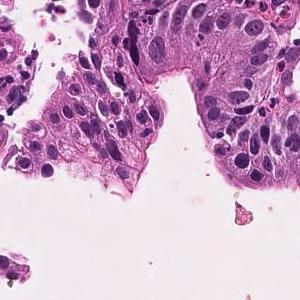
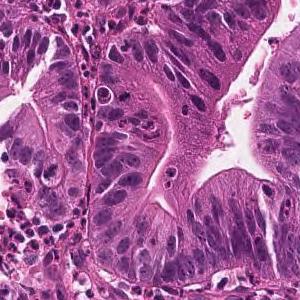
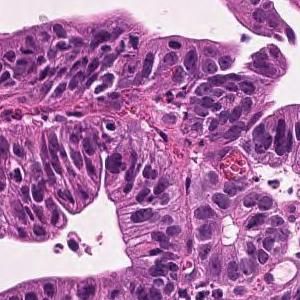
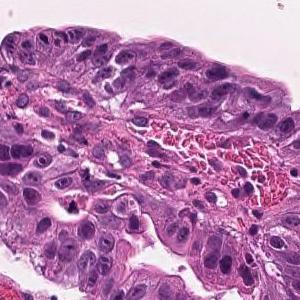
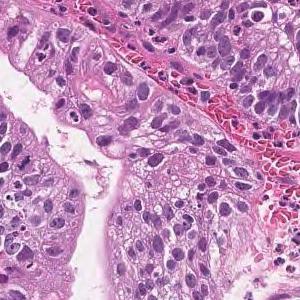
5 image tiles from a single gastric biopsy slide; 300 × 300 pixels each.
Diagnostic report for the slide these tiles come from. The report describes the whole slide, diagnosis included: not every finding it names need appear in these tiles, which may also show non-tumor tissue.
Tumor cells are large, highly columnar, large club-shaped nuclei, and are associated with chromatin aggregation. Papillary adenocarcinoma.
